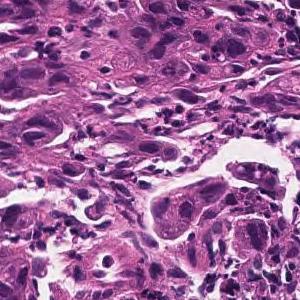
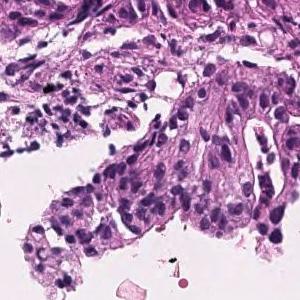
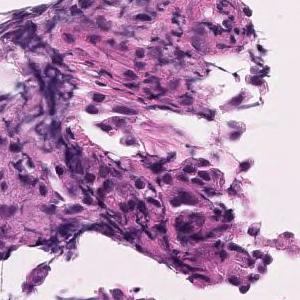
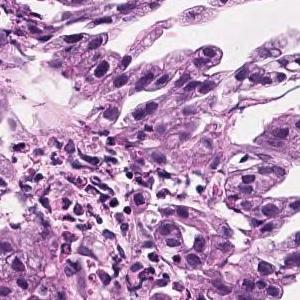
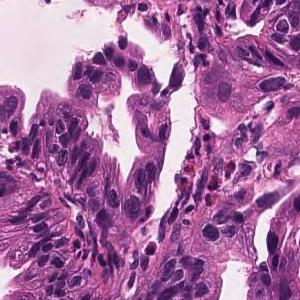
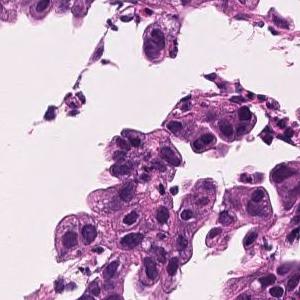
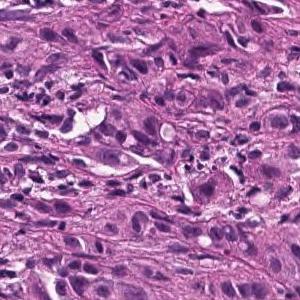
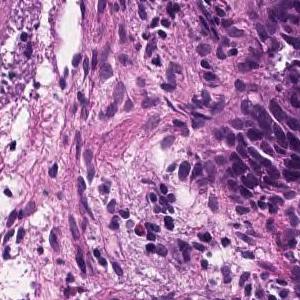
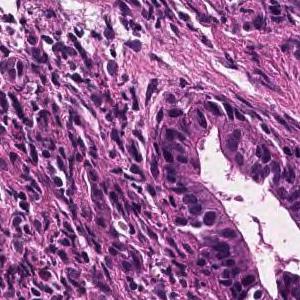
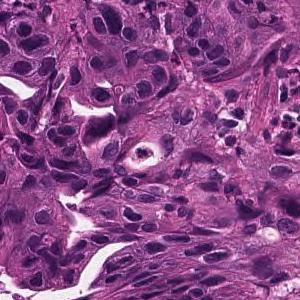
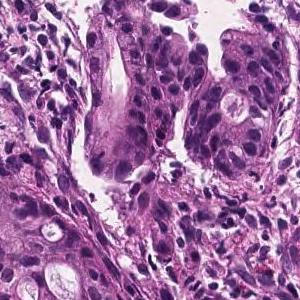
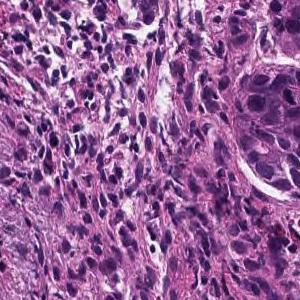
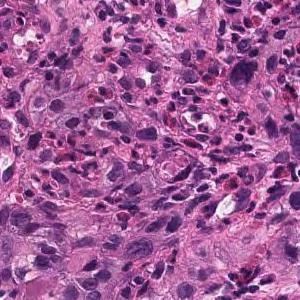
20× magnification · 13 patches cut from one gastric biopsy slide · 300 × 300 pixels each.
Pathology report for the slide these tiles were cut from. What the report and the diagnosis say applies to the whole slide; these tiles may miss some of the features named and may include tissue that is not tumor.
Tumor tissue consisting of medium-sized, cord-like or irregular glandular infiltration is observed in the superficial epithelium. Poorly differentiated adenocarcinoma, non-solid type or moderately differentiated tubular adenocarcinoma
The term "non-solid type" comes from the Japanese Classification of Gastric Carcinoma.
